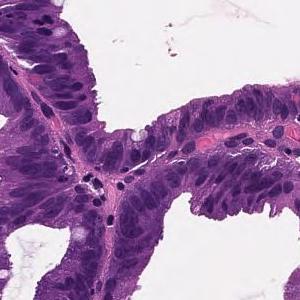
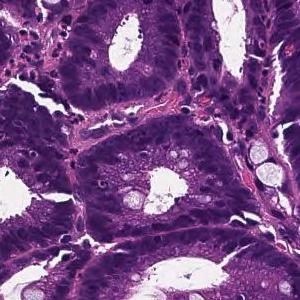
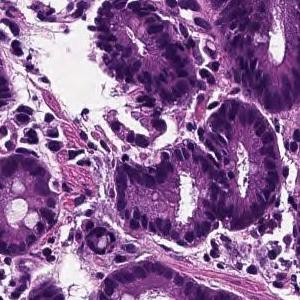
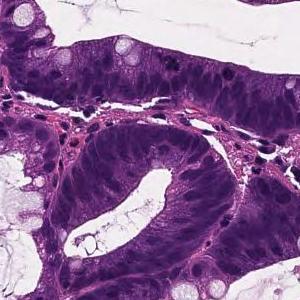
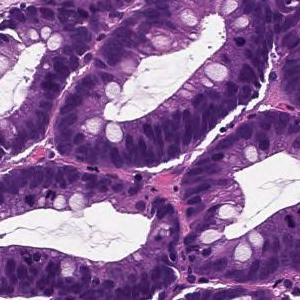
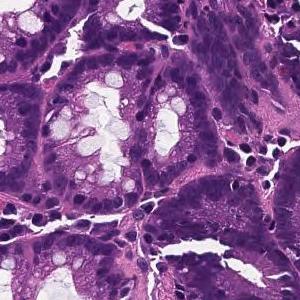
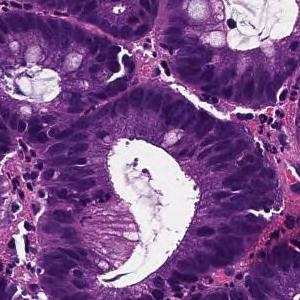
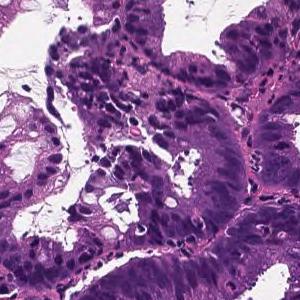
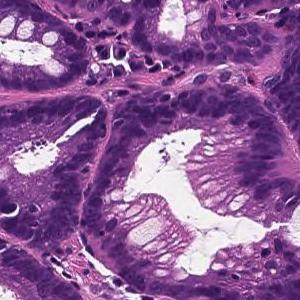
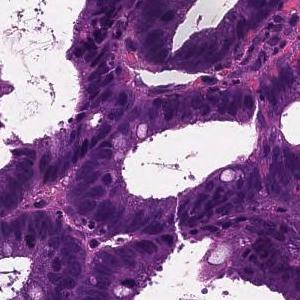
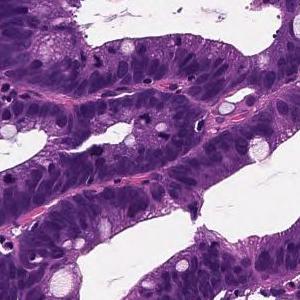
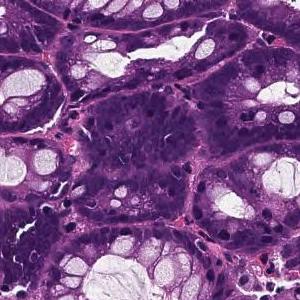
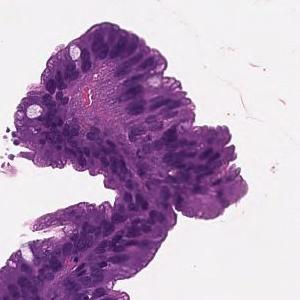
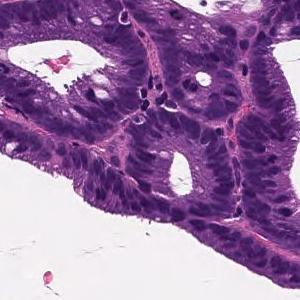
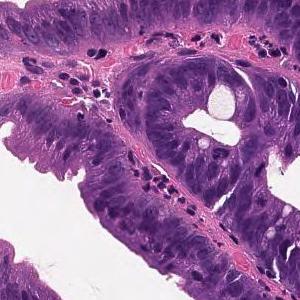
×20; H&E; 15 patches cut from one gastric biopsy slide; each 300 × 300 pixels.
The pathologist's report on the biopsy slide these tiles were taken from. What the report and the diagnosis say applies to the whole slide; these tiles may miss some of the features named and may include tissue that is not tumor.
moderately differentiated tubular adenocarcinoma infiltrates in the submucosa massively.
Classified as moderately differentiated tubular adenocarcinoma.
